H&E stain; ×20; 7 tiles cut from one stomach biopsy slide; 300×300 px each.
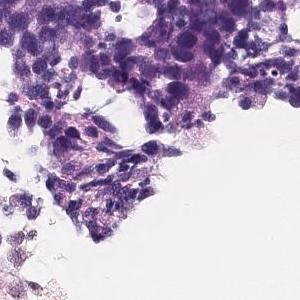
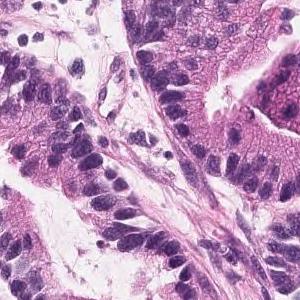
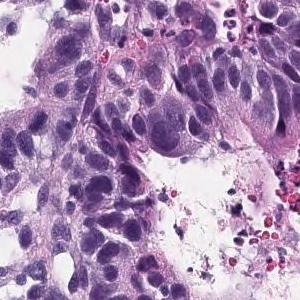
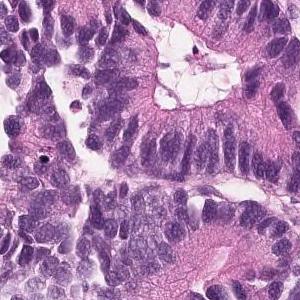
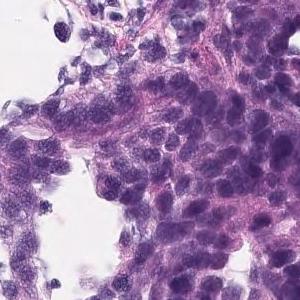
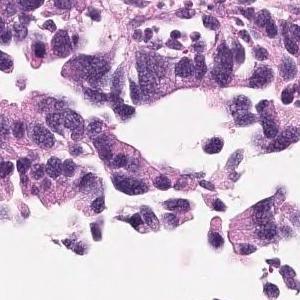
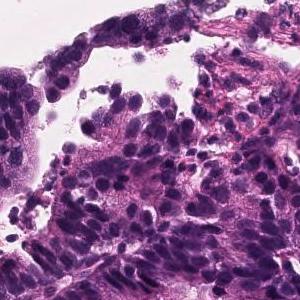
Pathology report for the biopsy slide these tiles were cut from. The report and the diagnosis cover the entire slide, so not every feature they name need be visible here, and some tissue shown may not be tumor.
In the superficial epithelium, tumor tissue that invades by forming medium-sized to small, irregular ducts is observed. moderately differentiated tubular adenocarcinoma.
